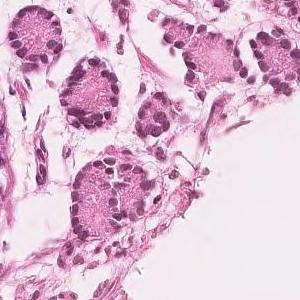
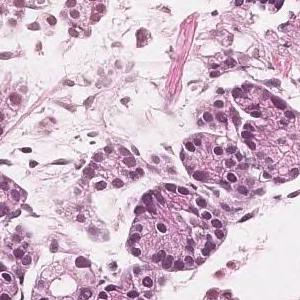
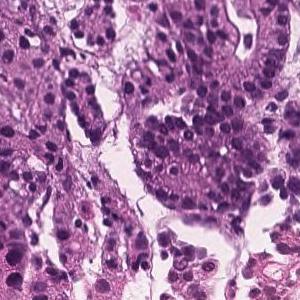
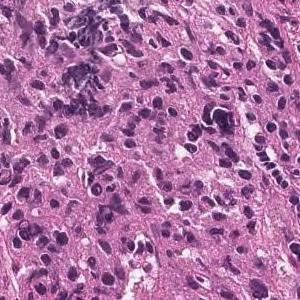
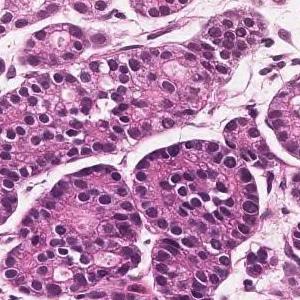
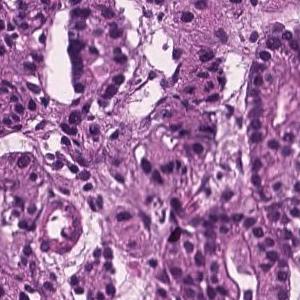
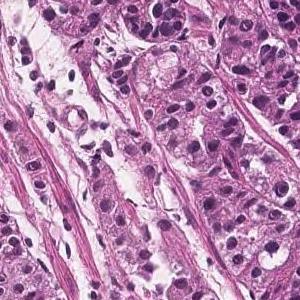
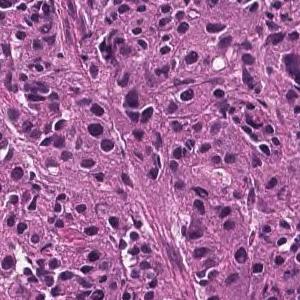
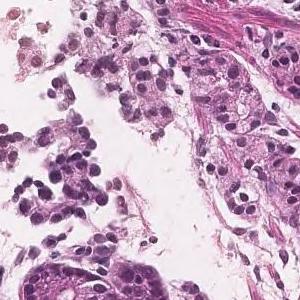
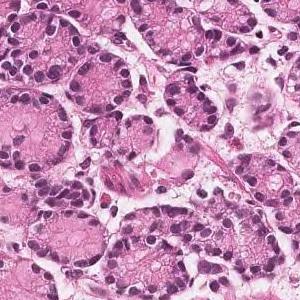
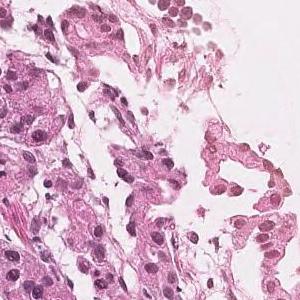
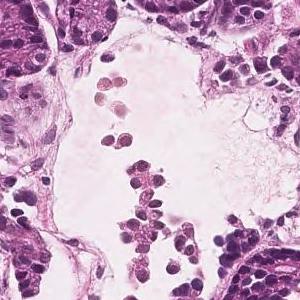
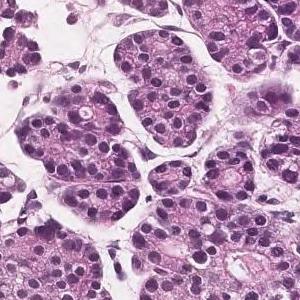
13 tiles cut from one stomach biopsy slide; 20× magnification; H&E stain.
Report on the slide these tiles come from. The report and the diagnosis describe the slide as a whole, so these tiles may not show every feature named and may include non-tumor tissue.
In the superficial epithelium, tumor tissue that invades by forming medium-sized to small, irregular ducts is observed. Moderately differentiated adenocarcinoma.
Histological subtype: Moderately differentiated tubular adenocarcinoma.
